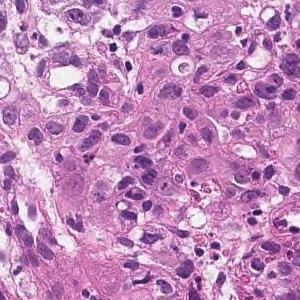
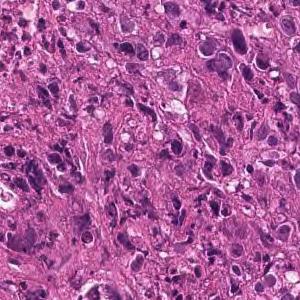
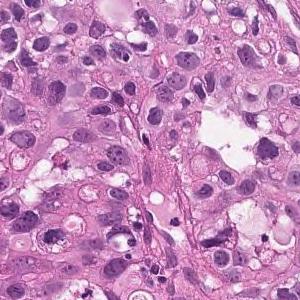
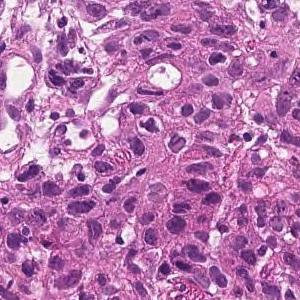
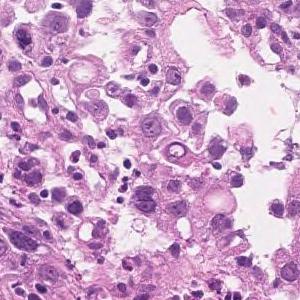
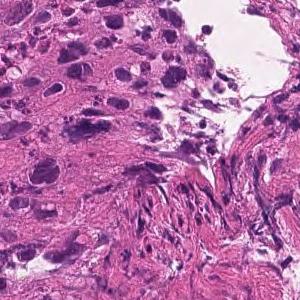
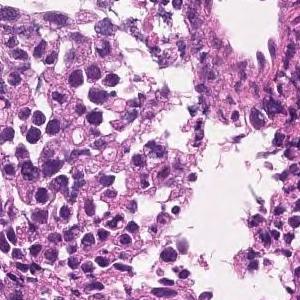
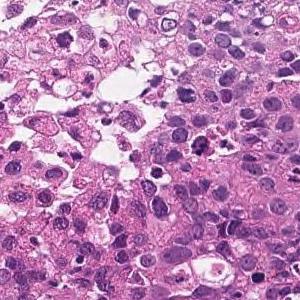
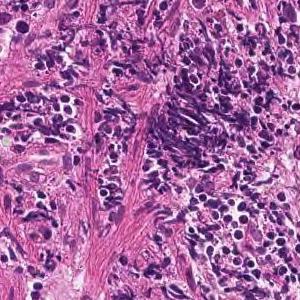
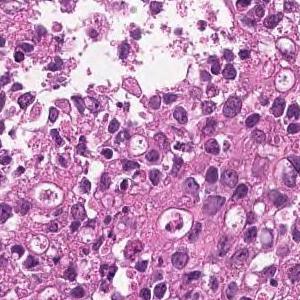
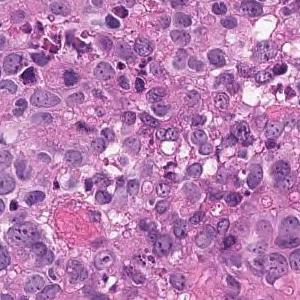
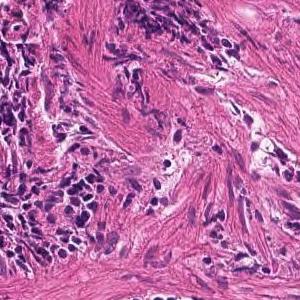
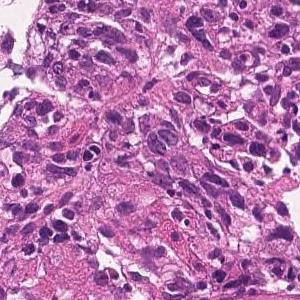
13 patches cut from one gastric biopsy slide · 300×300 px each · ×20 · H&E.
Pathology report for the slide these tiles were cut from. Both the report and the diagnosis are for the whole slide: these tiles need not show every feature named, and some of the tissue shown may not be tumor.
The superficial epithelium shows a large sheet-like shape, and some tumor tissue infiltrates with small irregular ducts. Poorly differentiated adenocarcinoma, solid-type
Classified as poorly differentiated adenocarcinoma, solid type, a category of the Japanese Classification of Gastric Carcinoma; in the WHO 2019 classification it is tubular adenocarcinoma, poorly differentiated.
